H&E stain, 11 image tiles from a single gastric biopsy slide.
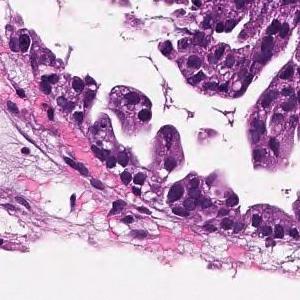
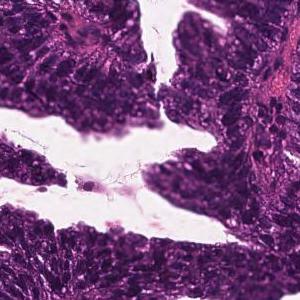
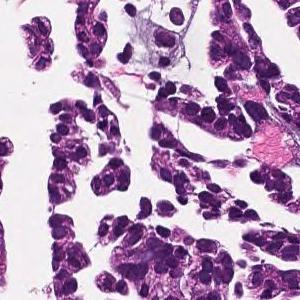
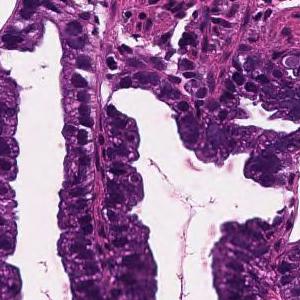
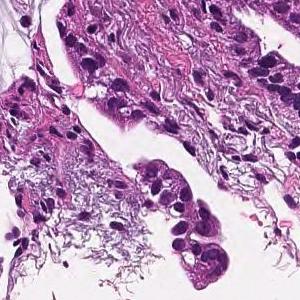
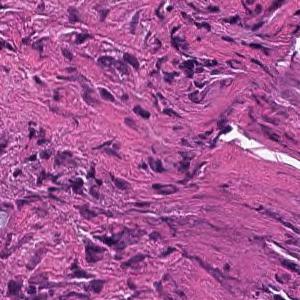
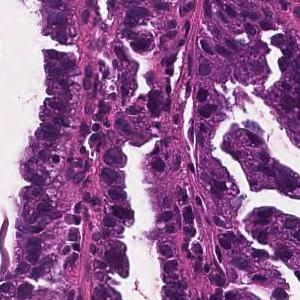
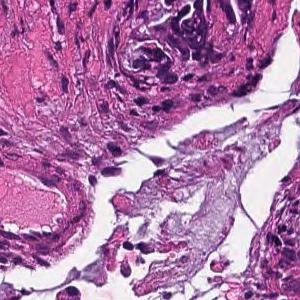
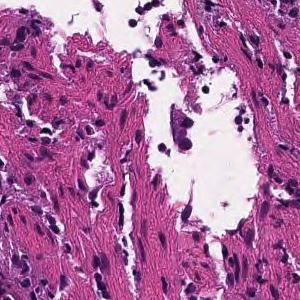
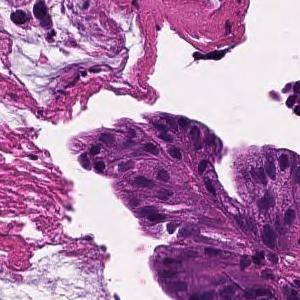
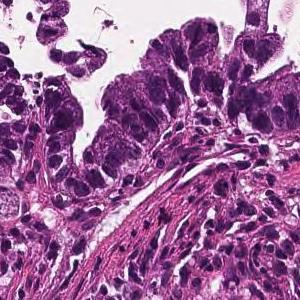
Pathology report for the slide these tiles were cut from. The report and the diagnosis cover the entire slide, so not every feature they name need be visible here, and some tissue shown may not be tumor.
Tumor cells are large, highly columnar, large club-shaped nuclei, and are associated with chromatin aggregation. Papillary adenocarcinoma.
